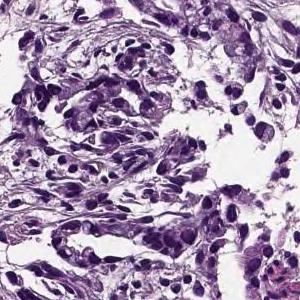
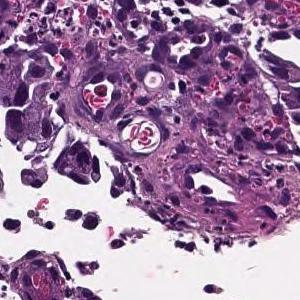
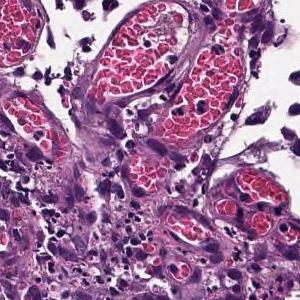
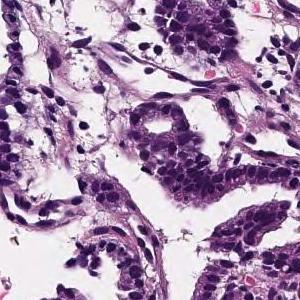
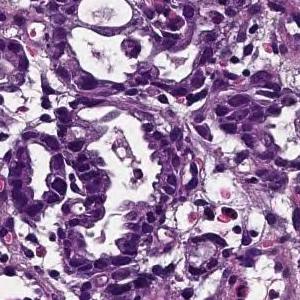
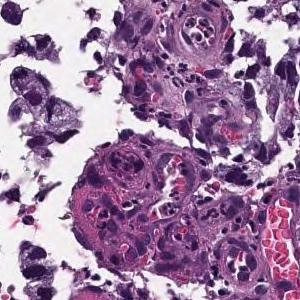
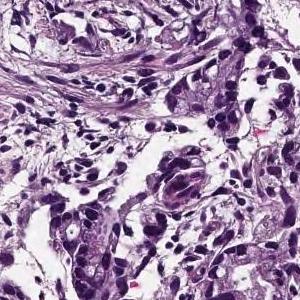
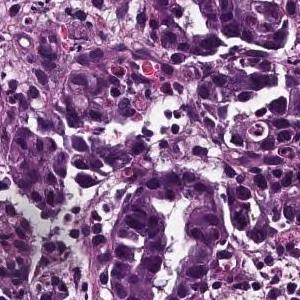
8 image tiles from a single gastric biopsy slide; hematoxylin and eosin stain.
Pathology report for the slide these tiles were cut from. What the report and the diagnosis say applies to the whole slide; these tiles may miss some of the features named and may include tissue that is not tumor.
Medium to small, irregular glandular ducts are formed in the superficial epithelium, and in some cases, the glandular ducts are fused to show solid alveolar lesions and infiltrating tumor tissue is observed. Moderately to poorly differentiated adenocarcinoma.
